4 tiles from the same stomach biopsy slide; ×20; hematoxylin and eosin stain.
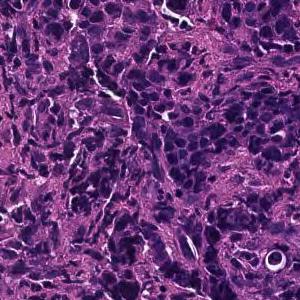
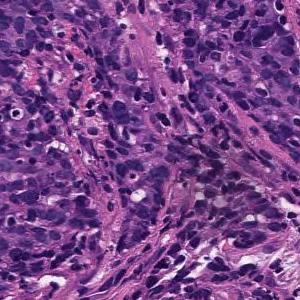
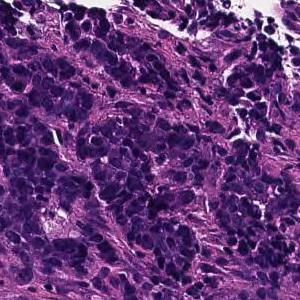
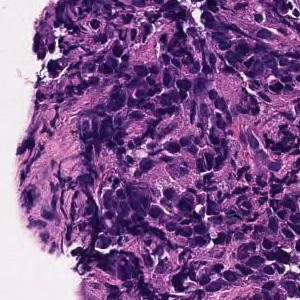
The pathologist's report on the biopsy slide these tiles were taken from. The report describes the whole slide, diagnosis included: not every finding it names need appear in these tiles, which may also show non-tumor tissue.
Tumor tissue consisting of cord-like or small, irregular glandular ducts fused and infiltrated is observed in the superficial epithelium. Poorly differentiated adenocarcinoma, non-solid type
The non-solid type named here is a Japanese Classification of Gastric Carcinoma category.
